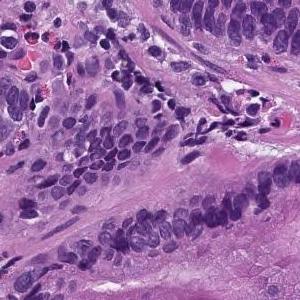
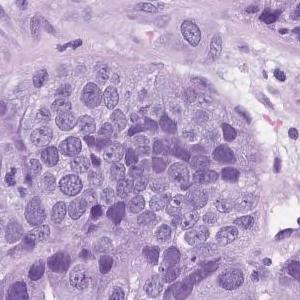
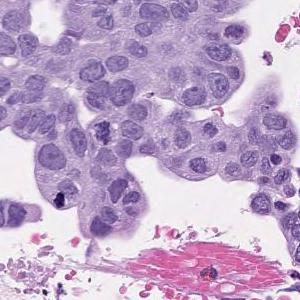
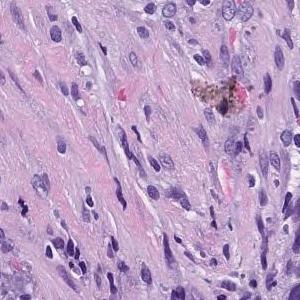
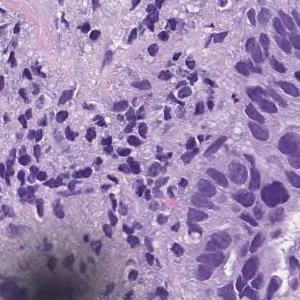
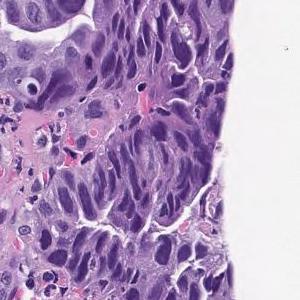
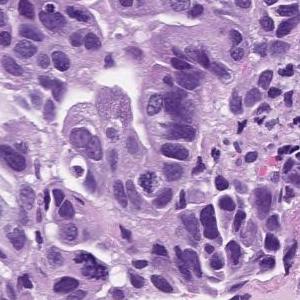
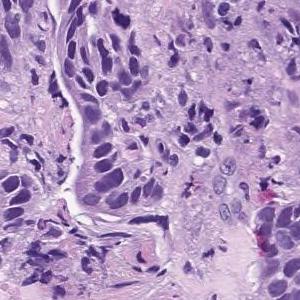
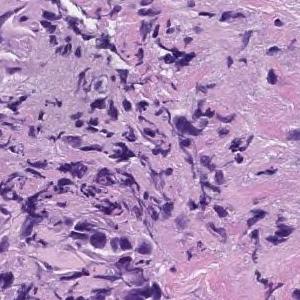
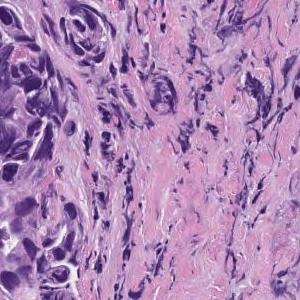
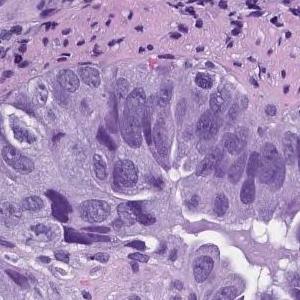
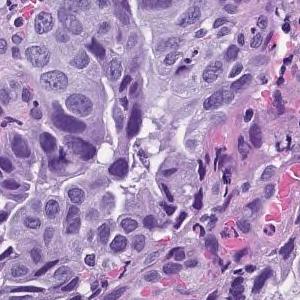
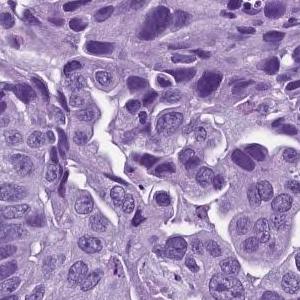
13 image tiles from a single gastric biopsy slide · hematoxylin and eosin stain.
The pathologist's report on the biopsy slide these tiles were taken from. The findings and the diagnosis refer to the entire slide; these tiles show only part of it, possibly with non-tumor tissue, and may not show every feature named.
In the superficial epithelium, tumor tissue that invades by forming medium-sized to small, irregular ducts is observed. moderately differentiated tubular adenocarcinoma.
